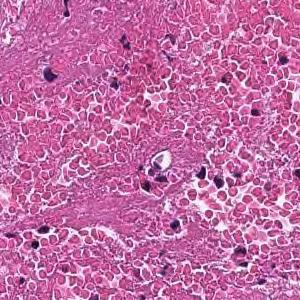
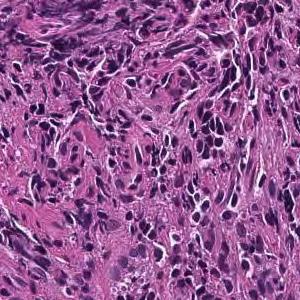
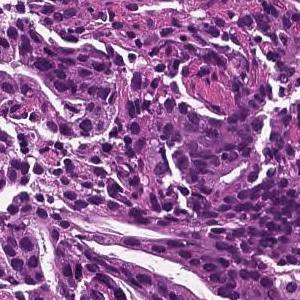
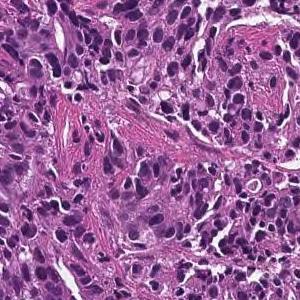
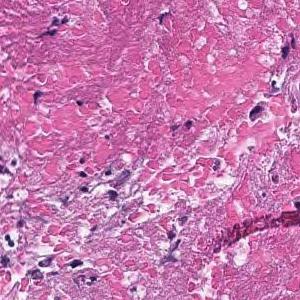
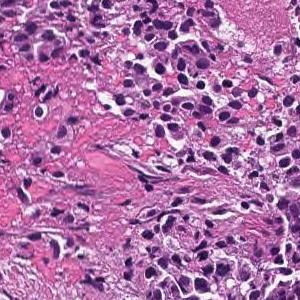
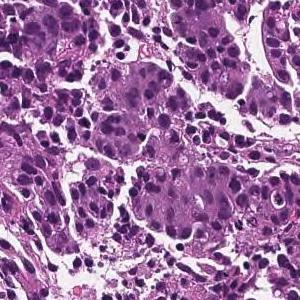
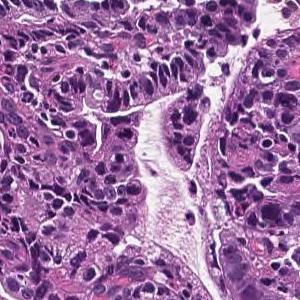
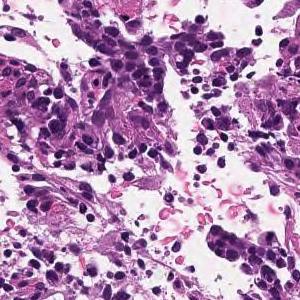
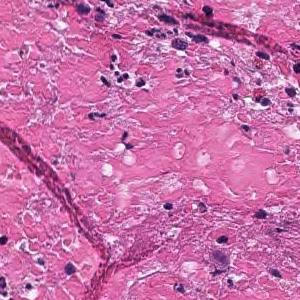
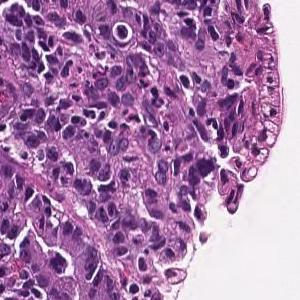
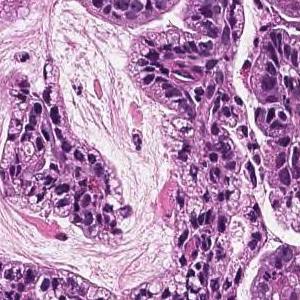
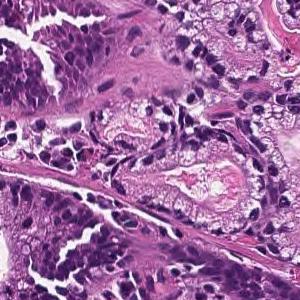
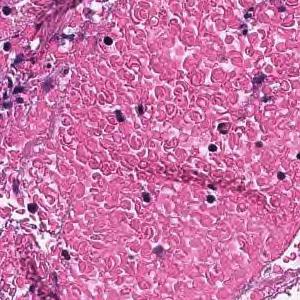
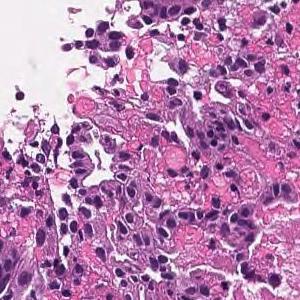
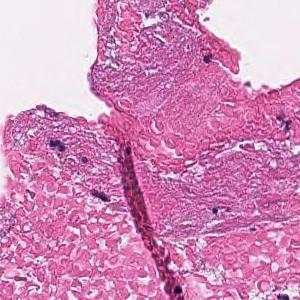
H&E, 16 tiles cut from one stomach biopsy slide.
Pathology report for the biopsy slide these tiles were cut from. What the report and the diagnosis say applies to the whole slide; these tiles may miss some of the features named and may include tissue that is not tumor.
On the superficial epithelium, tumor tissue that infiltrates by forming medium-sized papillary or small irregular ducts is observed. Papillary adenocarcinoma
